Hematoxylin and eosin stain, 6 tiles cut from one stomach biopsy slide, 300 × 300 pixels each.
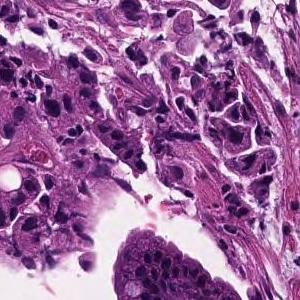
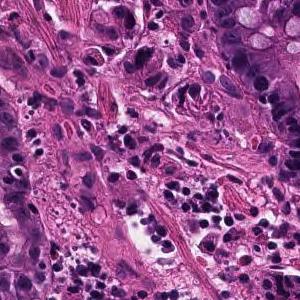
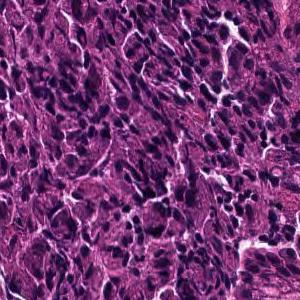
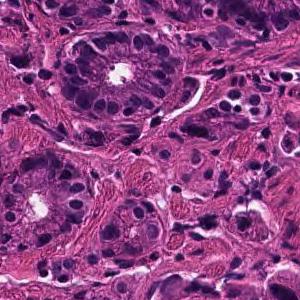
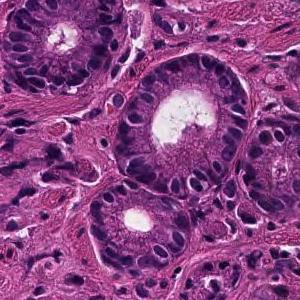
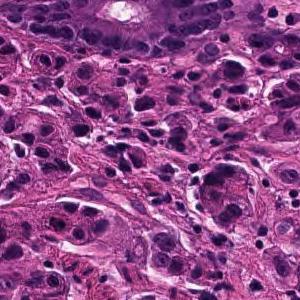
Diagnostic report for the slide these tiles come from. What the report and the diagnosis say applies to the whole slide; these tiles may miss some of the features named and may include tissue that is not tumor.
Tumor tissue consisting of cord-like or small, irregular glandular ducts fused and infiltrated is observed in the superficial epithelium. Poorly differentiated adenocarcinoma, non-solid type
"Non-solid type" is a category of the Japanese Classification of Gastric Carcinoma.
